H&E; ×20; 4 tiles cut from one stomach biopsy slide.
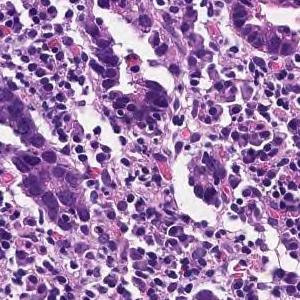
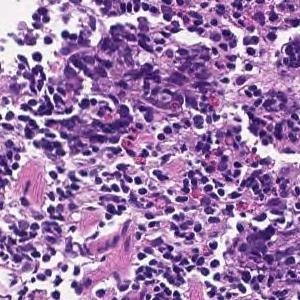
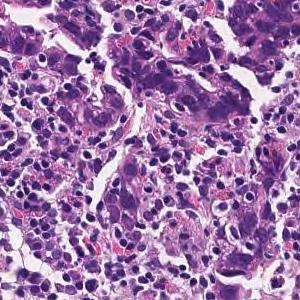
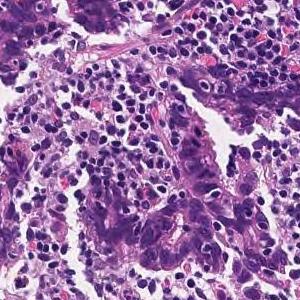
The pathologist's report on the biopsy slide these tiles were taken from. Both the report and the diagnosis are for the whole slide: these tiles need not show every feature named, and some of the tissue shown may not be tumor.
Tumor tissue consisting of medium-sized, cord-like or irregular glandular infiltration is observed in the superficial epithelium. Poorly differentiated adenocarcinoma, non-solid type or moderately differentiated tubular adenocarcinoma
Histologic type: Moderately to poorly differentiated adenocarcinoma.
The non-solid type named here is a Japanese Classification of Gastric Carcinoma category.
